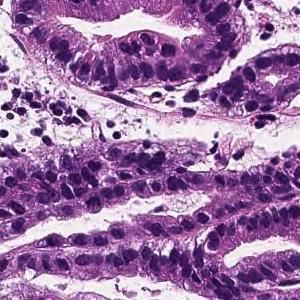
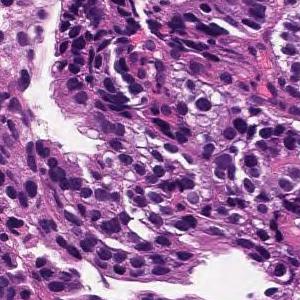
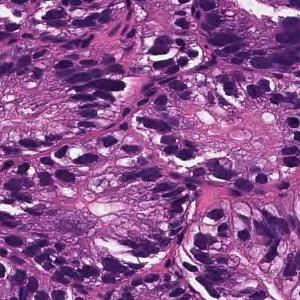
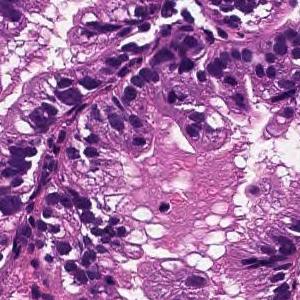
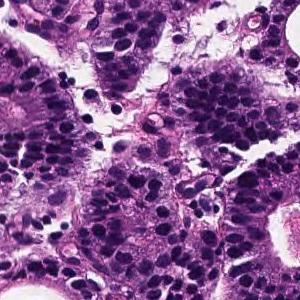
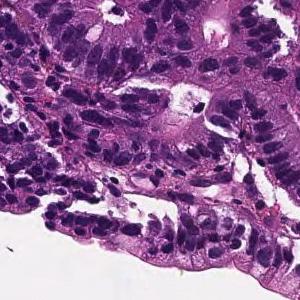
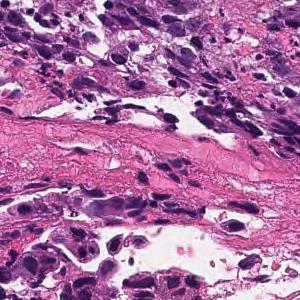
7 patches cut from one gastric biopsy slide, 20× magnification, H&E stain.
Report on the slide these tiles come from. What the report and the diagnosis say applies to the whole slide; these tiles may miss some of the features named and may include tissue that is not tumor.
From the superficial epithelium to the muscularis mucosae, tumor tissue consisting of medium-sized and irregular glandular ducts infiltrating is observed. Well differentiated tubular adenocarcinoma
